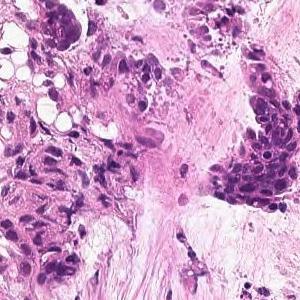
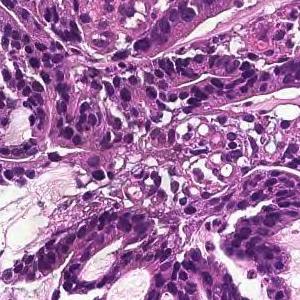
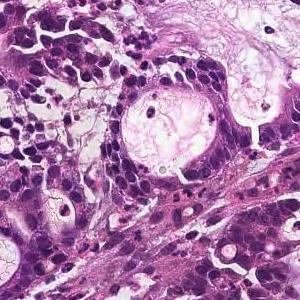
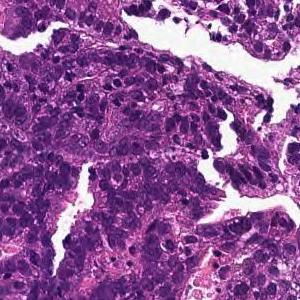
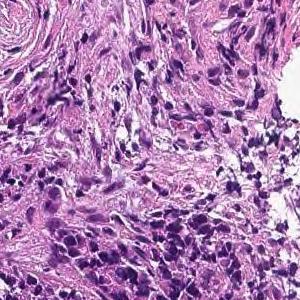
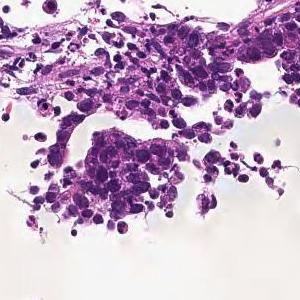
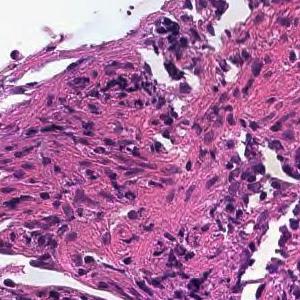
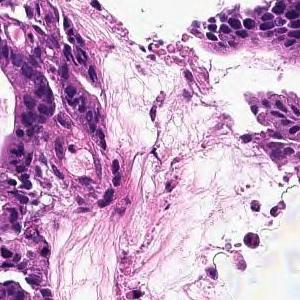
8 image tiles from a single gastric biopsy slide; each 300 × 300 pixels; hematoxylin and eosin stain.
Diagnostic report for the slide these tiles come from. The findings and the diagnosis refer to the entire slide; these tiles show only part of it, possibly with non-tumor tissue, and may not show every feature named.
In the superficial epithelium, tumor tissue that invades by forming medium-sized to small, irregular ducts is observed. moderately differentiated tubular adenocarcinoma.
